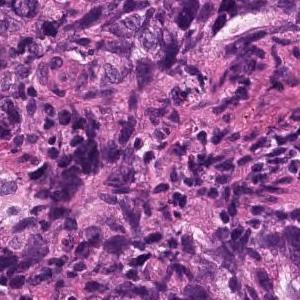
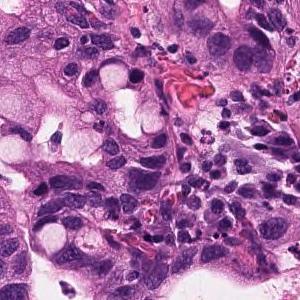
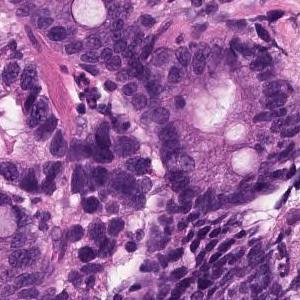
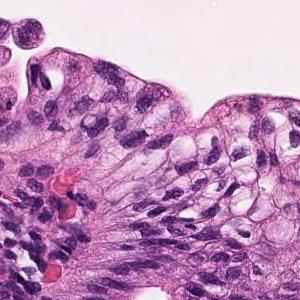
20× magnification; hematoxylin and eosin stain; 4 image tiles from a single gastric biopsy slide.
The pathologist's report on the biopsy slide these tiles were taken from. The report describes the whole slide, diagnosis included: not every finding it names need appear in these tiles, which may also show non-tumor tissue.
In the superficial epithelium, tumor tissue that invades by forming medium-sized to small, irregular ducts is observed. Moderately differentiated adenocarcinoma.
Tumor subtype: moderately differentiated tubular adenocarcinoma.
